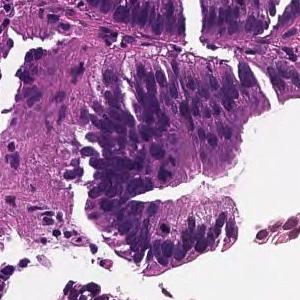
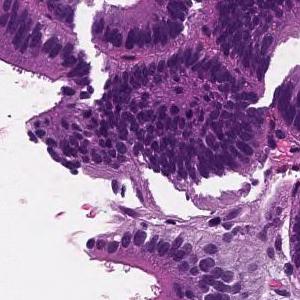
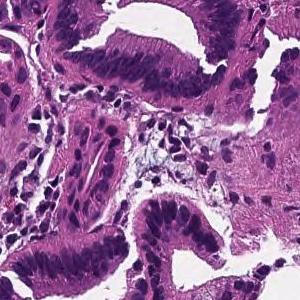
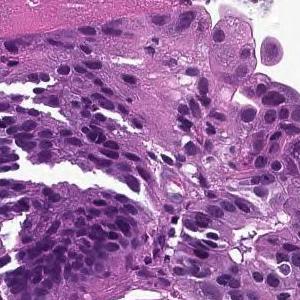
H&E stain, ×20, 4 image tiles from a single gastric biopsy slide, each 300 × 300 pixels.
Pathology report for the biopsy slide these tiles were cut from. The findings and the diagnosis refer to the entire slide; these tiles show only part of it, possibly with non-tumor tissue, and may not show every feature named.
From the superficial epithelium to the muscularis mucosae, tumor tissue consisting of medium-sized and irregular glandular ducts infiltrating is observed. Well differentiated tubular adenocarcinoma
